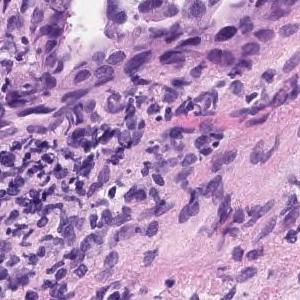
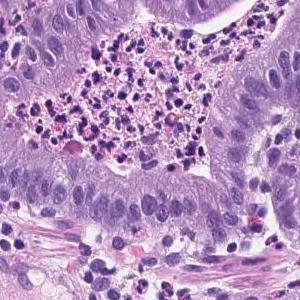
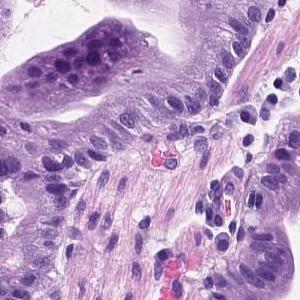
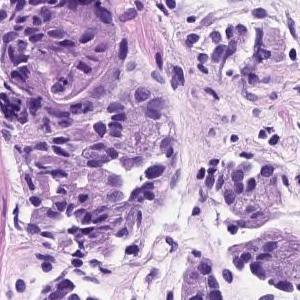
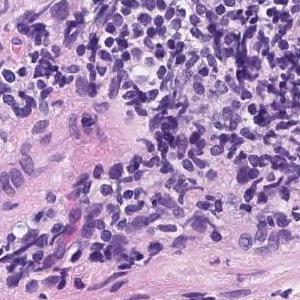
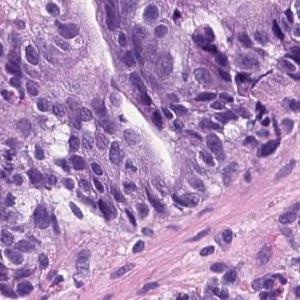
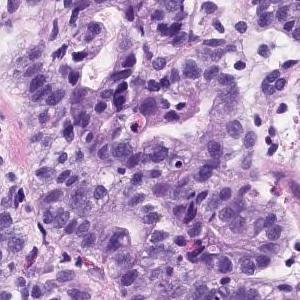
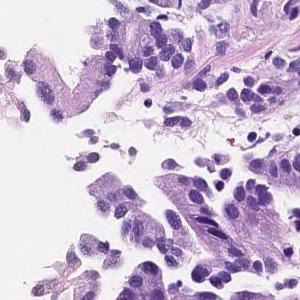
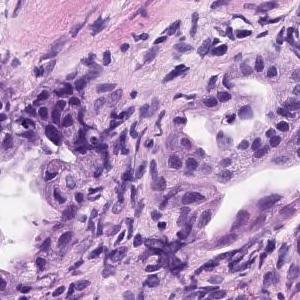
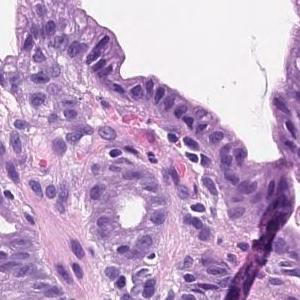
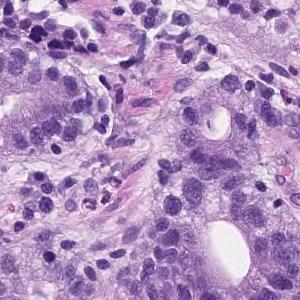
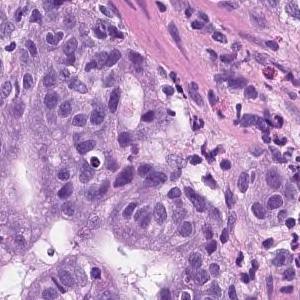
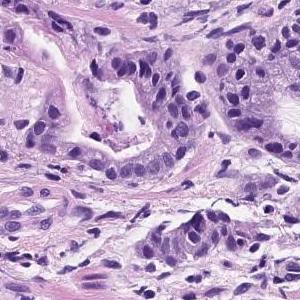
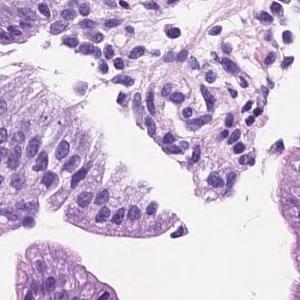
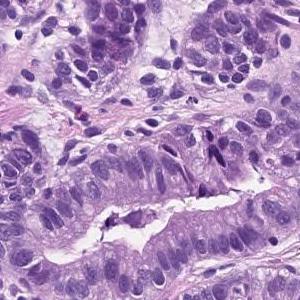
Hematoxylin and eosin stain, scanned at ×20, 15 patches cut from one gastric biopsy slide, 300×300 px each.
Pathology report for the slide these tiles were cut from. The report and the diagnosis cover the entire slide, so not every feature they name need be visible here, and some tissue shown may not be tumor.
Tumor tissue consisting of medium-sized and irregular ducts is observed infiltrating in the superficial epithelium. Tumor cells are highly columnar, with nuclei aligned basolaterally and polarized. Well differentiated tubular adenocarcinoma.
